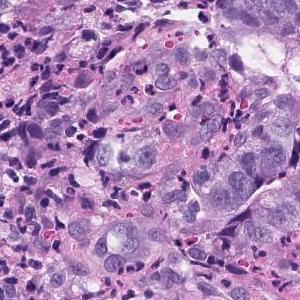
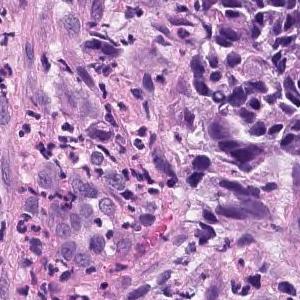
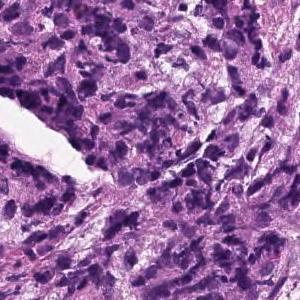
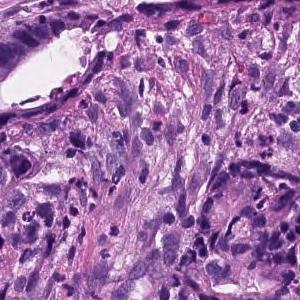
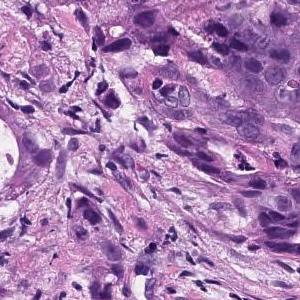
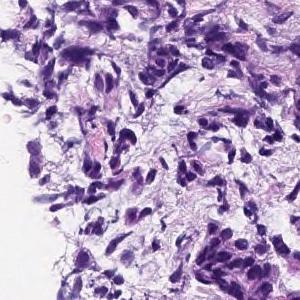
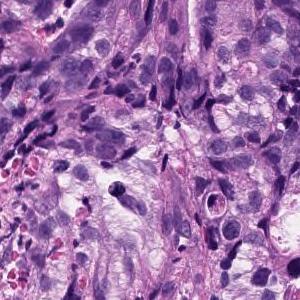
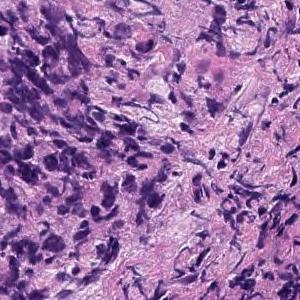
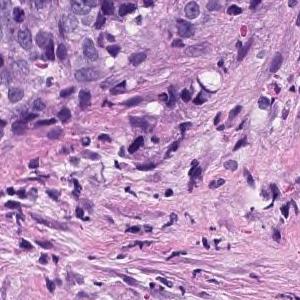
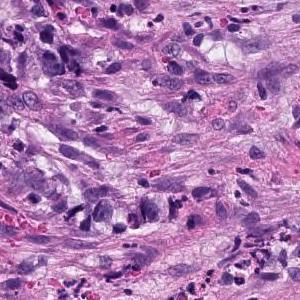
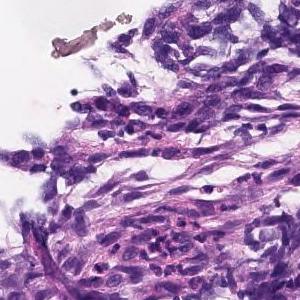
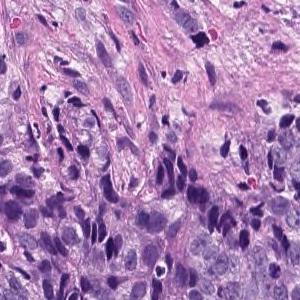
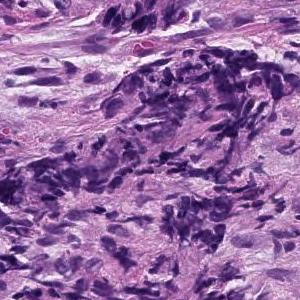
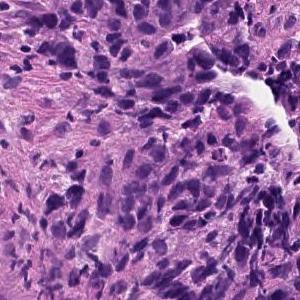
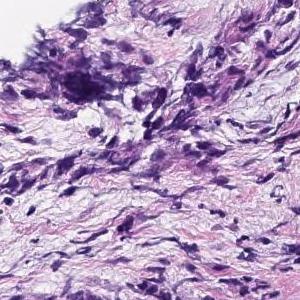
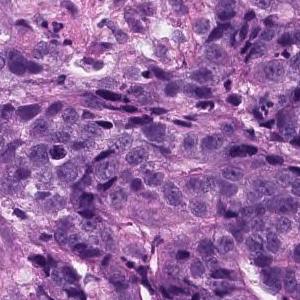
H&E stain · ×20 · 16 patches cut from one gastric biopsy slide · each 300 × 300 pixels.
Pathology report for the biopsy slide these tiles were cut from. The findings and the diagnosis refer to the entire slide; these tiles show only part of it, possibly with non-tumor tissue, and may not show every feature named.
Medium to small, irregular glandular ducts are formed in the superficial epithelium, and in some cases, the glandular ducts are fused to show solid alveolar lesions and infiltrating tumor tissue is observed. Moderately to poorly differentiated adenocarcinoma.
